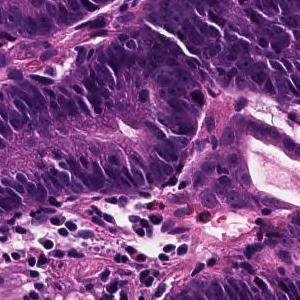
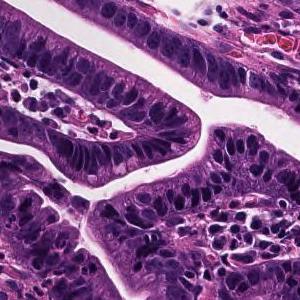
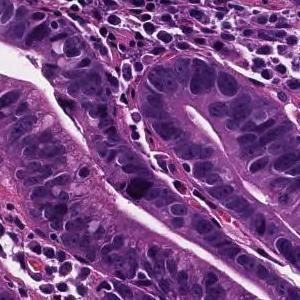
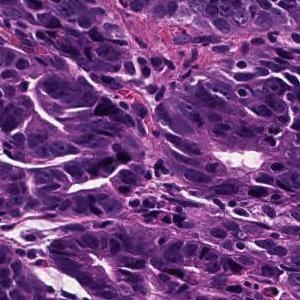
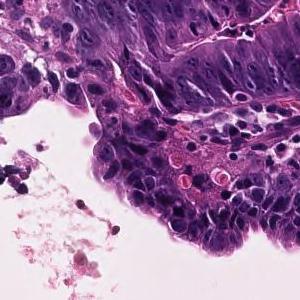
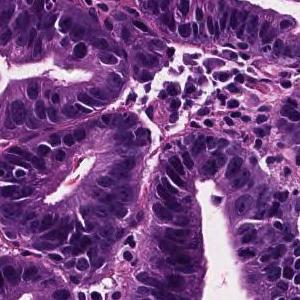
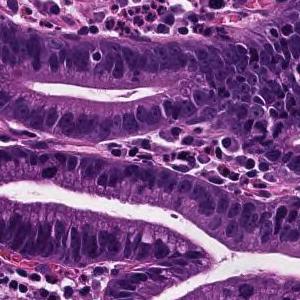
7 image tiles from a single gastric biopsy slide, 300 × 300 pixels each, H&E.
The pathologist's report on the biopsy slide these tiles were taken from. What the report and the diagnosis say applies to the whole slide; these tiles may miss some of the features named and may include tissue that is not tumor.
On the superficial epithelium, tumor tissue consisting of growth of medium-sized to large-sized, round or irregular glandular ducts is observed. Well differentiated tubular adenocarcinoma
